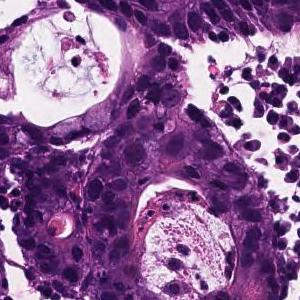
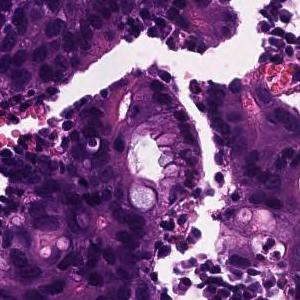
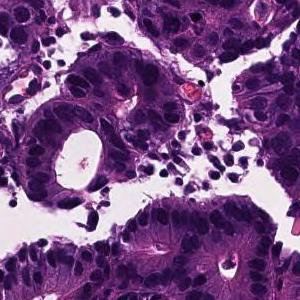
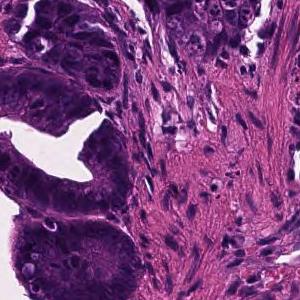
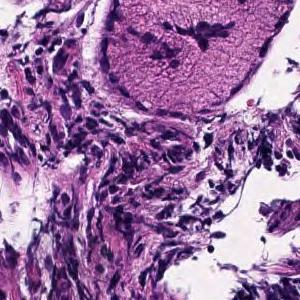
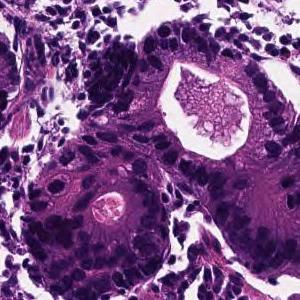
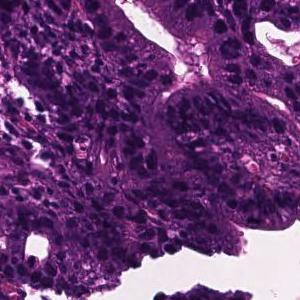
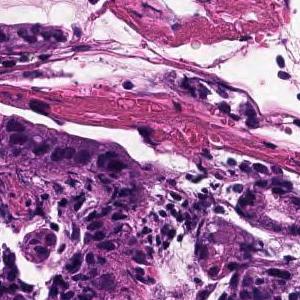
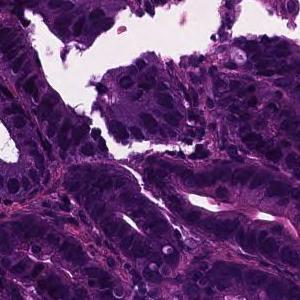
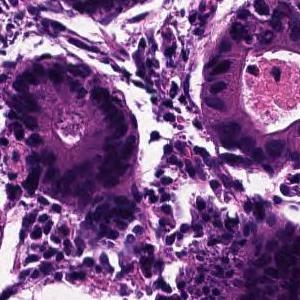
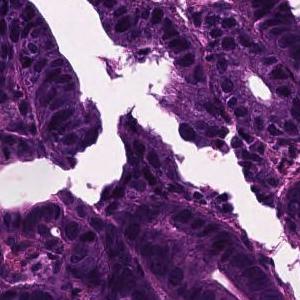
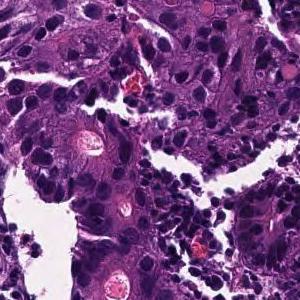
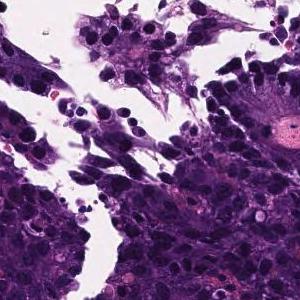
13 tiles cut from one stomach biopsy slide · each 300 × 300 pixels · hematoxylin and eosin stain.
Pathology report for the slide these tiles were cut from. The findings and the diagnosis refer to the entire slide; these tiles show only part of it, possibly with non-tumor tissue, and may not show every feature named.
From the superficial epithelium to the muscularis mucosae, tumor tissue infiltrating by forming medium-sized irregular gland ducts is observed. Large tumor cells exhibit large nucleus and hyperchromatism. Well differentiated tubular adenocarcinoma
